10 tiles from the same stomach biopsy slide, 300×300 px each, hematoxylin and eosin stain.
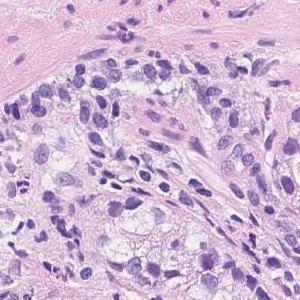
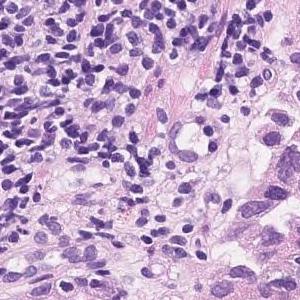
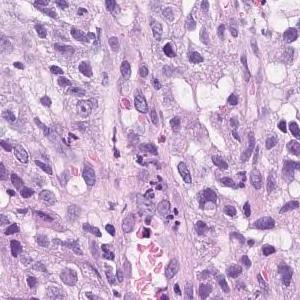
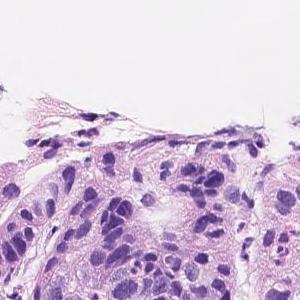
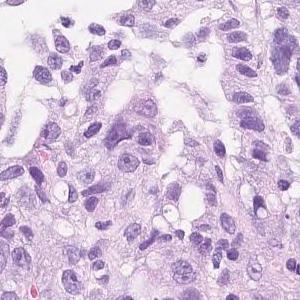
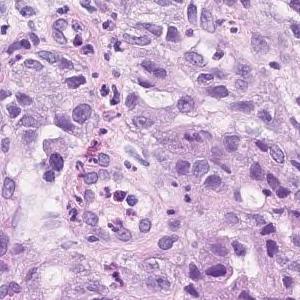
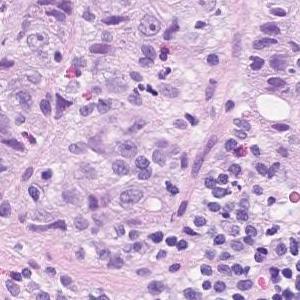
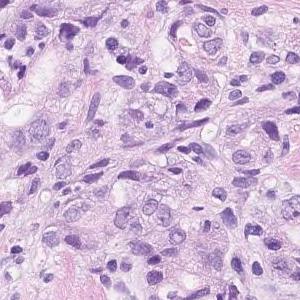
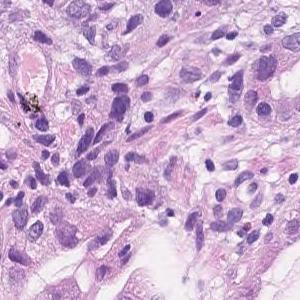
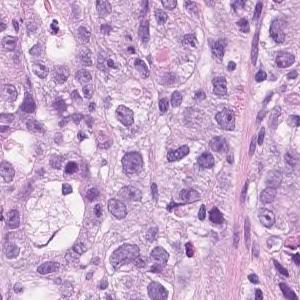
Pathology report for the slide these tiles were cut from. What the report and the diagnosis say applies to the whole slide; these tiles may miss some of the features named and may include tissue that is not tumor.
In the superficial epithelium, tumor tissue that invades by forming medium-sized to small, irregular ducts is observed. Moderately to poorly differentiated adenocarcinoma
